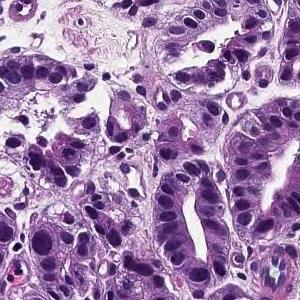
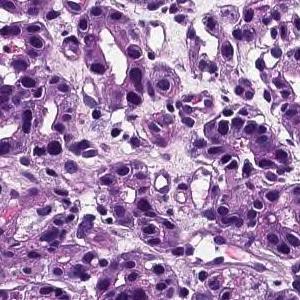
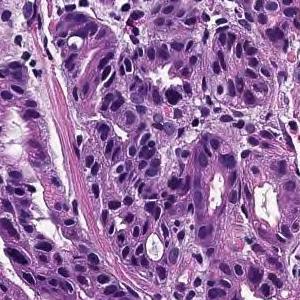
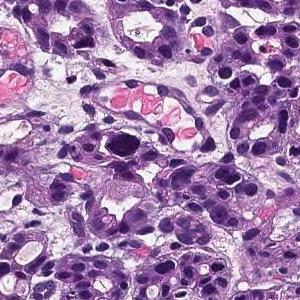
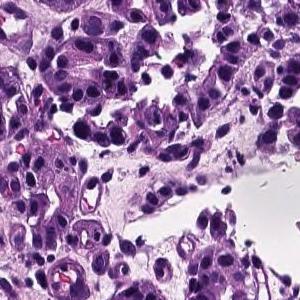
20× magnification, hematoxylin and eosin stain, 5 patches cut from one gastric biopsy slide, each 300 × 300 pixels.
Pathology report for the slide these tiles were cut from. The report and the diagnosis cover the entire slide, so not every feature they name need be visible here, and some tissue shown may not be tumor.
From the superficial epithelium to the muscularis mucosae, tumor tissue consisting of medium-sized and irregular glandular ducts infiltrating is observed. Well differentiated tubular adenocarcinoma
